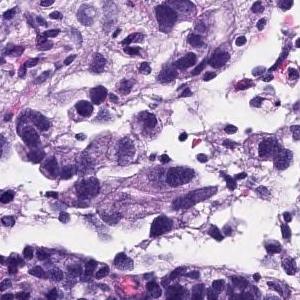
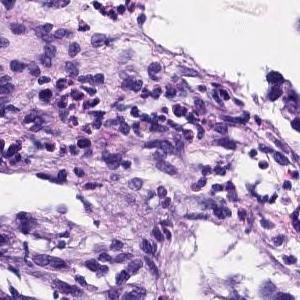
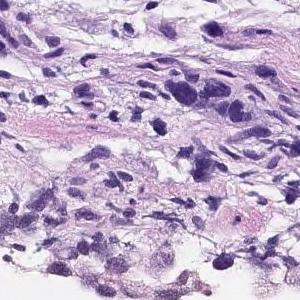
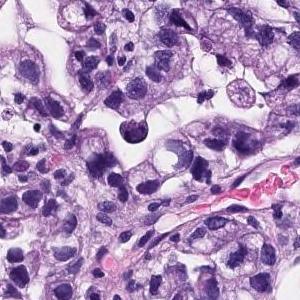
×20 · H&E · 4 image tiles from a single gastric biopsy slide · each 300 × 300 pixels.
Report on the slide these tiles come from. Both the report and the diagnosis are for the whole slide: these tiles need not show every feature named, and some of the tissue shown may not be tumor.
Medium to small, irregular glandular ducts are formed in the superficial epithelium, and in some cases, the glandular ducts are fused to show solid alveolar lesions and infiltrating tumor tissue is observed. Poorly differentiated adenocarcinoma, Moderately differentiated adenocarcinoma.
Labeled in the dataset as moderately differentiated tubular adenocarcinoma.
